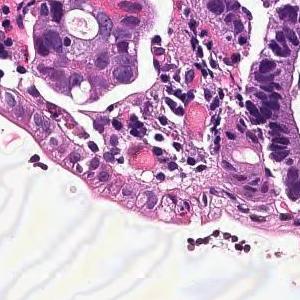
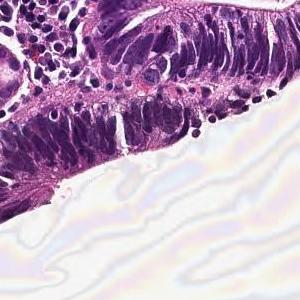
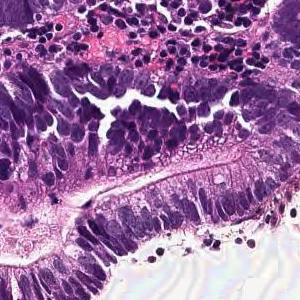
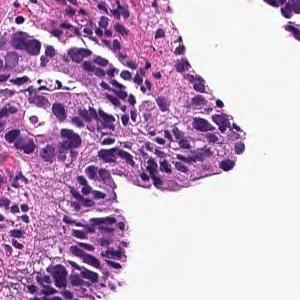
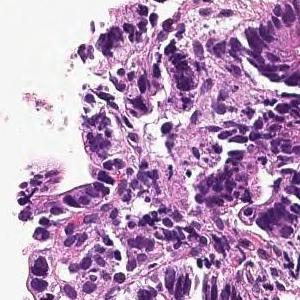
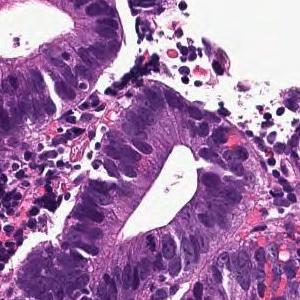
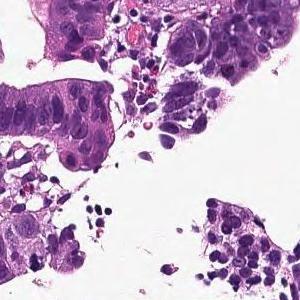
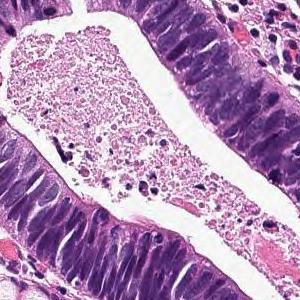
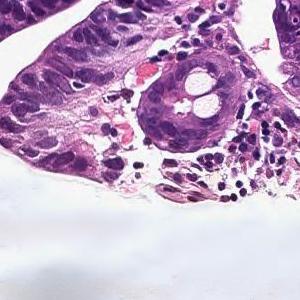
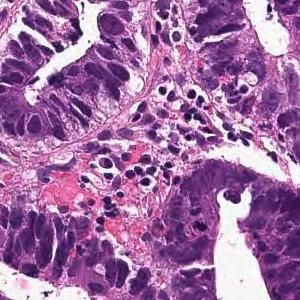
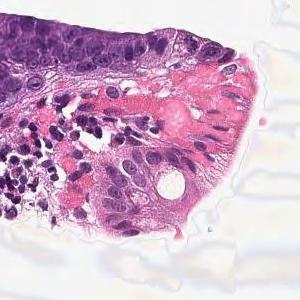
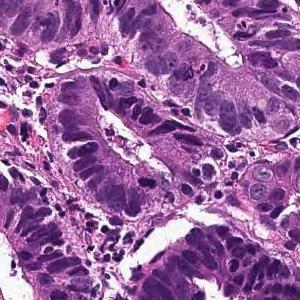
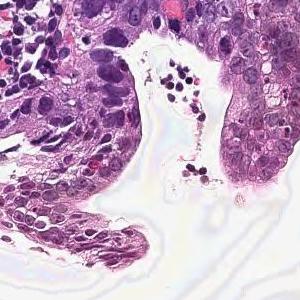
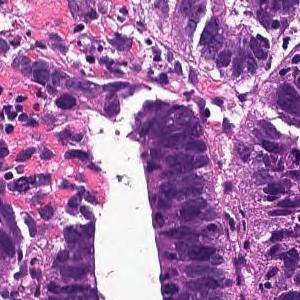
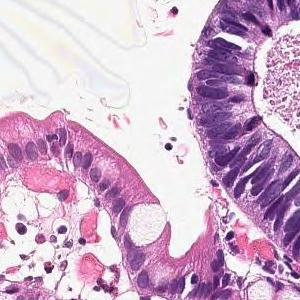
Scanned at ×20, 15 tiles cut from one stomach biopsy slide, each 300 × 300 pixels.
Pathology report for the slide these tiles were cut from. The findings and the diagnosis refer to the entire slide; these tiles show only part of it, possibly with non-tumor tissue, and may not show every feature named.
Tumor cells are large, highly columnar, large club-shaped nuclei, and are associated with chromatin aggregation. Papillary adenocarcinoma.
